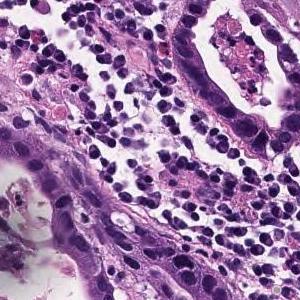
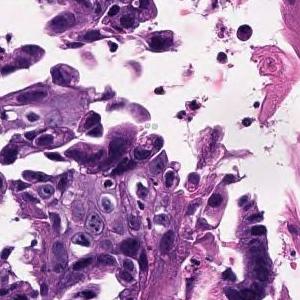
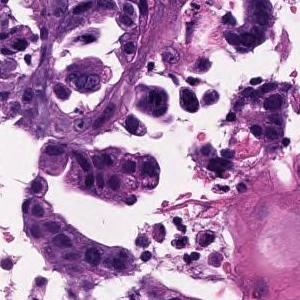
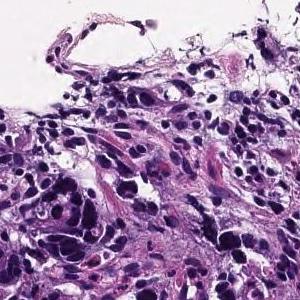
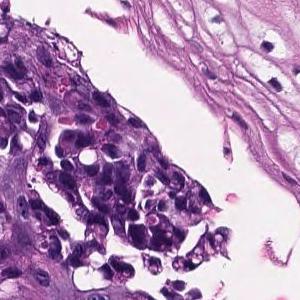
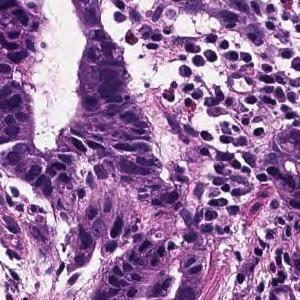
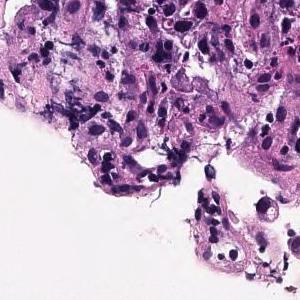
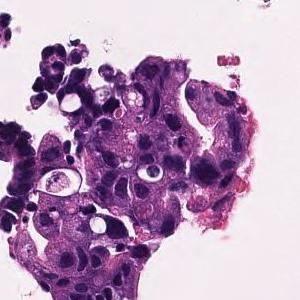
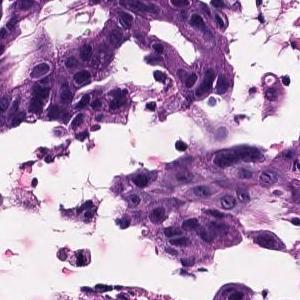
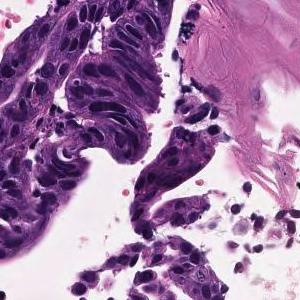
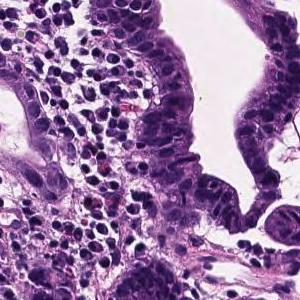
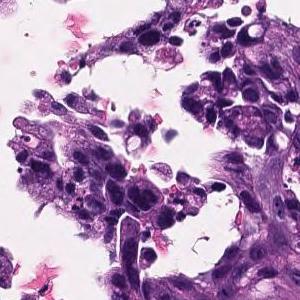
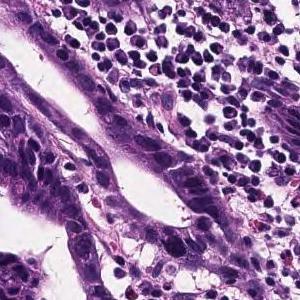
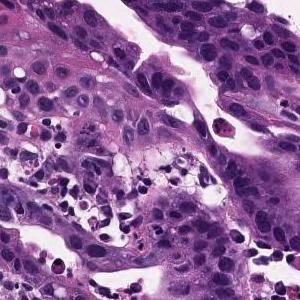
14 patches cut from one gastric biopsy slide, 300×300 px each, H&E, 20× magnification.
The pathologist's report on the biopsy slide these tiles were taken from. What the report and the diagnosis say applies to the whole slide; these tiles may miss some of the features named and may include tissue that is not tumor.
In the superficial epithelium, tumor tissue that invades by forming medium-sized to small, irregular ducts is observed. moderately differentiated tubular adenocarcinoma.
